×20, H&E stain, 6 tiles from the same stomach biopsy slide, each 300 × 300 pixels.
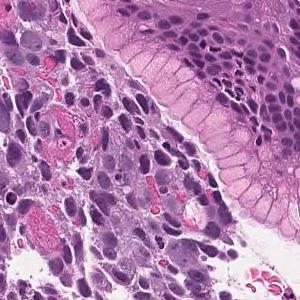
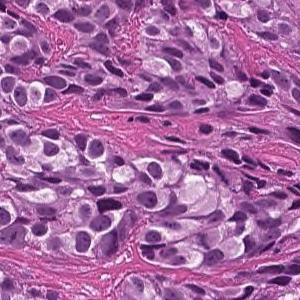
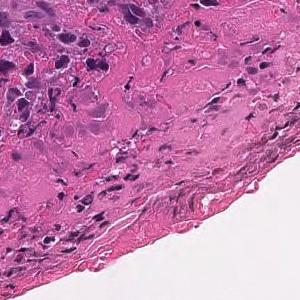
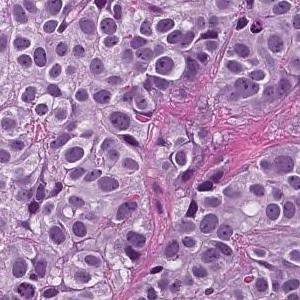
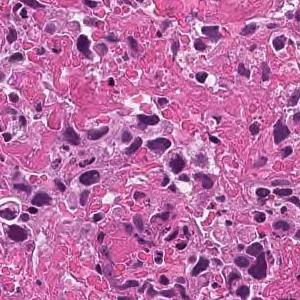
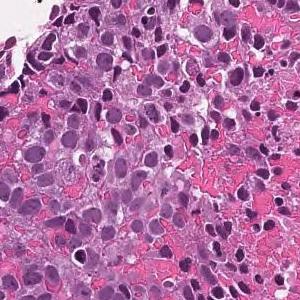
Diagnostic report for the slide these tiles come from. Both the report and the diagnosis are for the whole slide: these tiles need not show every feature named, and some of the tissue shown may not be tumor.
The superficial epithelium shows a large sheet-like shape, and some tumor tissue infiltrates with small irregular ducts. Poorly differentiated adenocarcinoma, solid-type
Subtype: Poorly differentiated adenocarcinoma, solid type (Japanese Classification of Gastric Carcinoma). The WHO 2019 equivalent is tubular adenocarcinoma, poorly differentiated.
